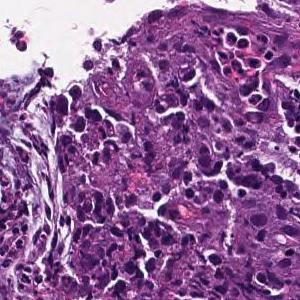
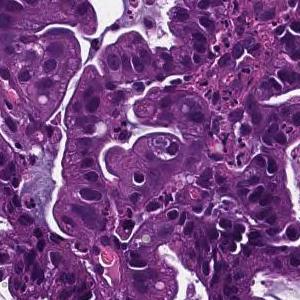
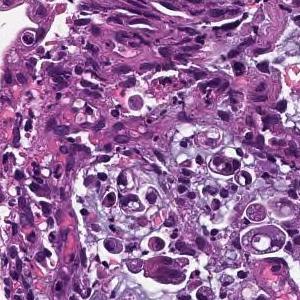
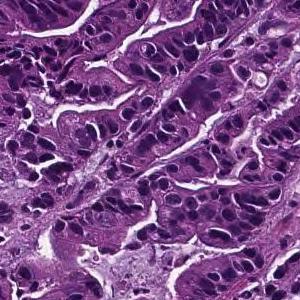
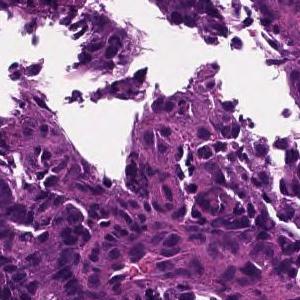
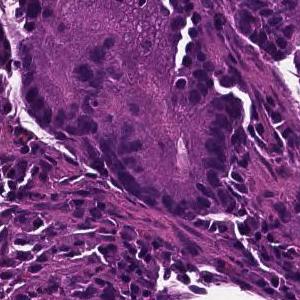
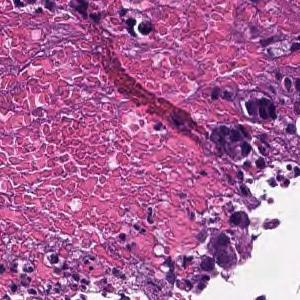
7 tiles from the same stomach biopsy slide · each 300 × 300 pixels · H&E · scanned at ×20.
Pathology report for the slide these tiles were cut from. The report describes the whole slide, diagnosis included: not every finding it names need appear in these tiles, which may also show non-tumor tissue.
On the superficial epithelium, tumor tissue consisting of large irregular glandular ducts partially fused and infiltrated is observed. Well to moderately differentiated tubular adenocarcinoma (well differentiated tubular adenocarcinoma, moderately differentiated tubular adenocarcinoma)
Histologic type: Well to moderately differentiated tubular adenocarcinoma.
